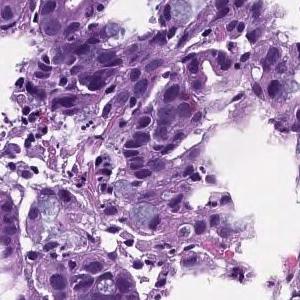
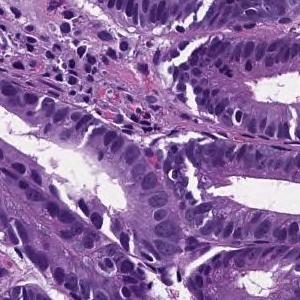
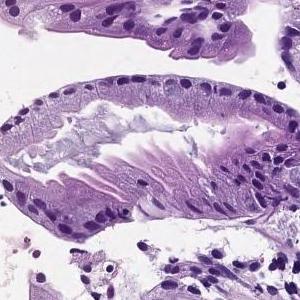
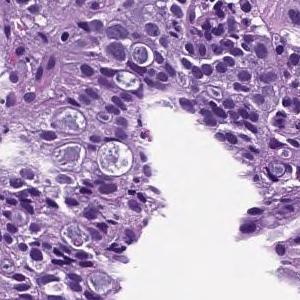
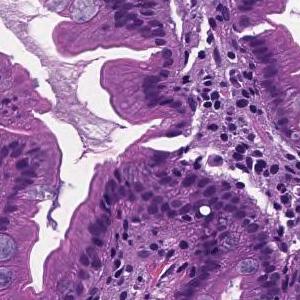
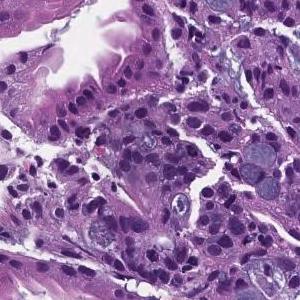
20× magnification · 6 tiles from the same stomach biopsy slide · each 300 × 300 pixels.
The pathologist's report on the biopsy slide these tiles were taken from. The report describes the whole slide, diagnosis included: not every finding it names need appear in these tiles, which may also show non-tumor tissue.
In the superficial epithelium, tumor tissue that invades by forming medium-sized to small, irregular ducts is observed. moderately differentiated tubular adenocarcinoma.
